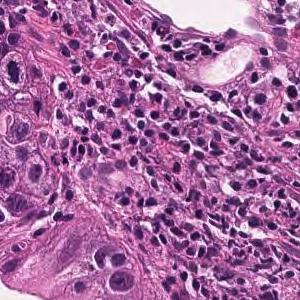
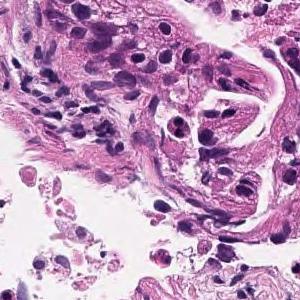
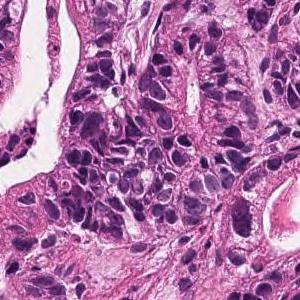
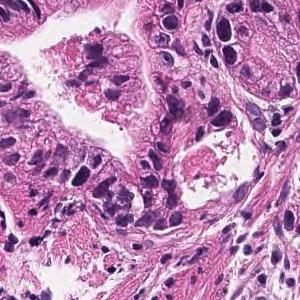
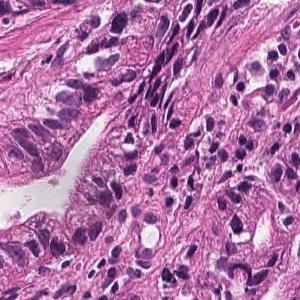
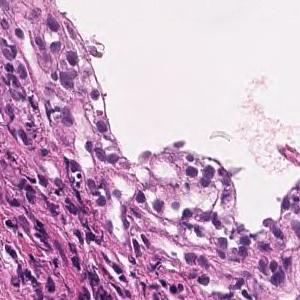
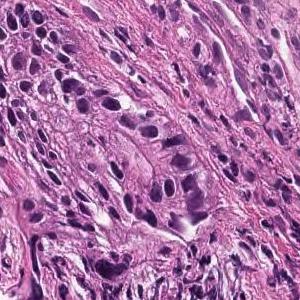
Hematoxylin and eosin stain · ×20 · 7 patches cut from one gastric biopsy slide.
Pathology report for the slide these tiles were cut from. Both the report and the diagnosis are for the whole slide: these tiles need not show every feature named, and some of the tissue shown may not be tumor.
From the superficial epithelium to the muscularis mucosae, tumor tissue infiltrating by forming medium-sized irregular gland ducts is observed. Large tumor cells exhibit large nucleus and hyperchromatism. Well differentiated tubular adenocarcinoma
